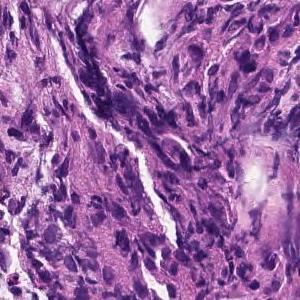
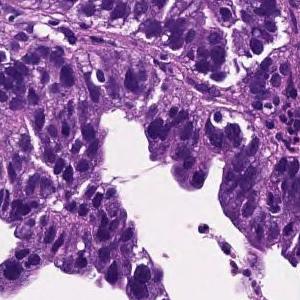
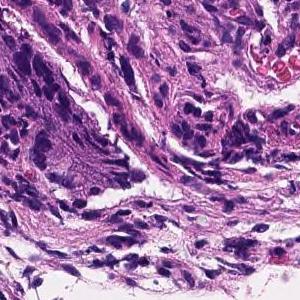
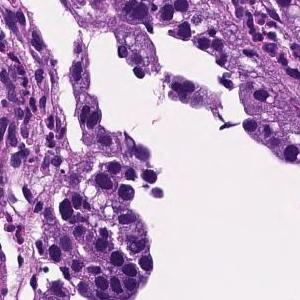
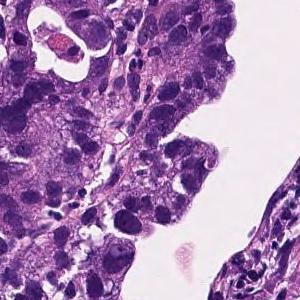
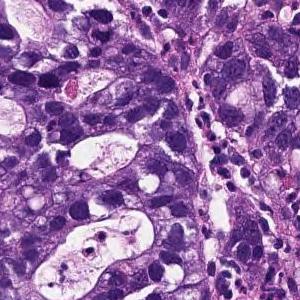
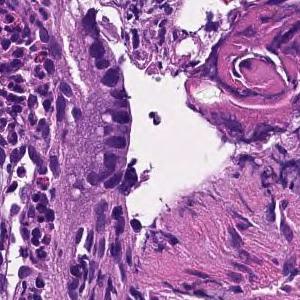
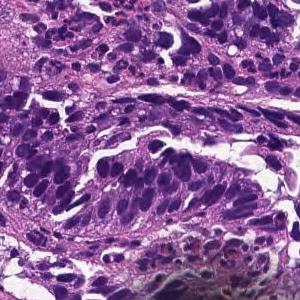
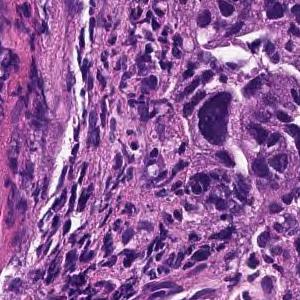
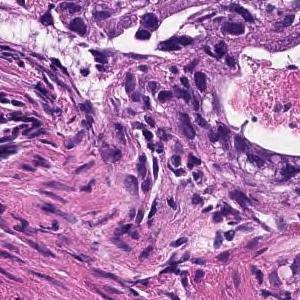
10 tiles cut from one stomach biopsy slide, hematoxylin and eosin stain.
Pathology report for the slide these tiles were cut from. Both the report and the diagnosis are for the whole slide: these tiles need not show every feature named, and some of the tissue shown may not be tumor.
Tumor tissue consisting of large papillary structures is found in the superficial epithelium. Papillary adenocarcinoma.
